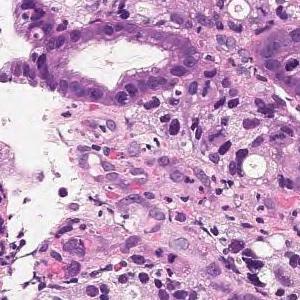
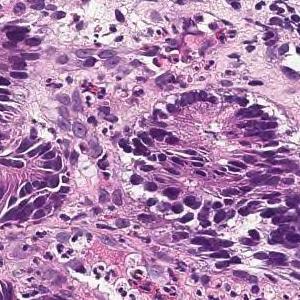
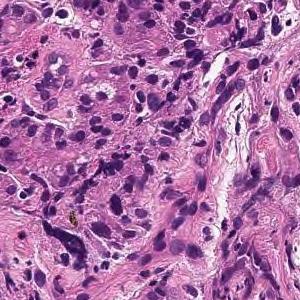
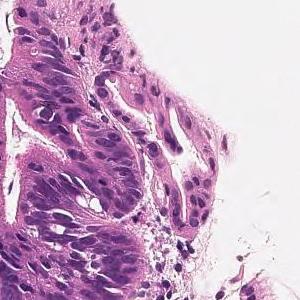
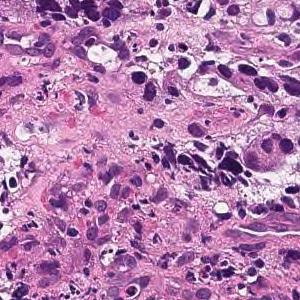
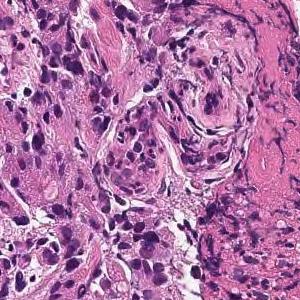
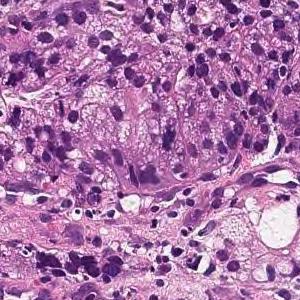
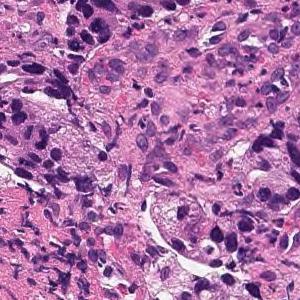
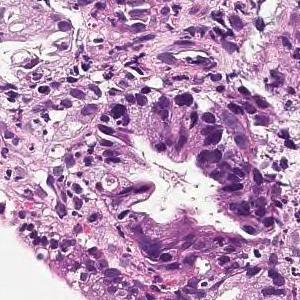
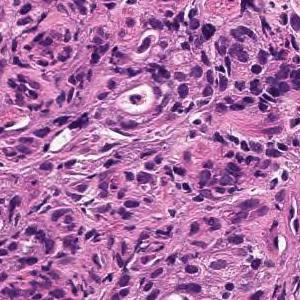
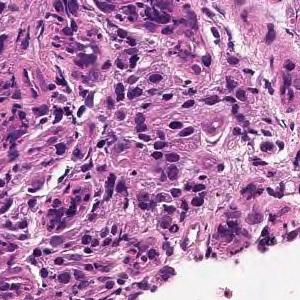
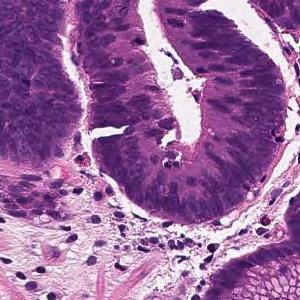
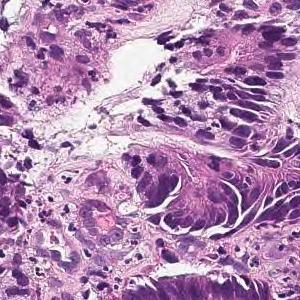
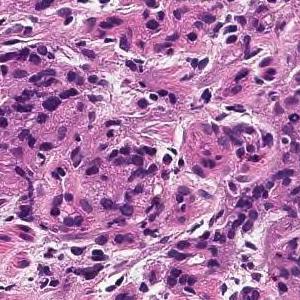
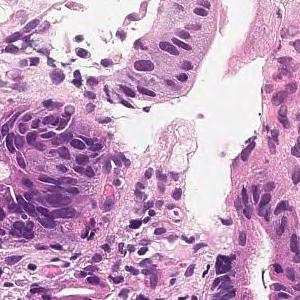
15 patches cut from one gastric biopsy slide, H&E.
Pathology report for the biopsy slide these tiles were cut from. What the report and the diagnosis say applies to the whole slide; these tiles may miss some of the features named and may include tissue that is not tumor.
In the superficial epithelium, medium to small irregular gland ducts are formed, and in some cases, the ducts are fused to show solid alveolar lesions and infiltrating tumor tissue is observed. moderately differentiated tubular adenocarcinoma or poorly differentiated adenocarcinoma, solid-type (poorly differentiated adenocarcinoma, solid type)
The dataset labels this slide poorly differentiated adenocarcinoma, solid type, a category of the Japanese Classification of Gastric Carcinoma; in the WHO 2019 classification it is tubular adenocarcinoma, poorly differentiated.
